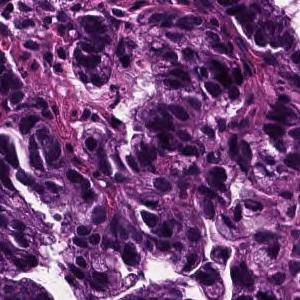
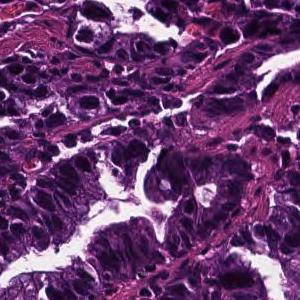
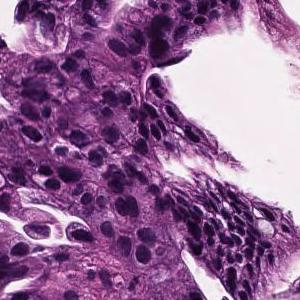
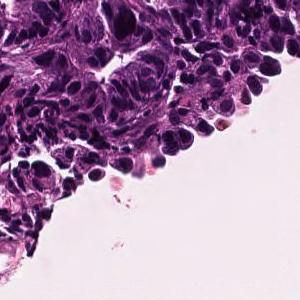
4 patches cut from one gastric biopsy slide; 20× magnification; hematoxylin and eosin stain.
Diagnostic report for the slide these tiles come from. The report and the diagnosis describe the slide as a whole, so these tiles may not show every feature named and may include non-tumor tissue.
In the superficial epithelium, tumor tissue that invades by forming medium-sized to small, irregular ducts is observed. Well differentiated tubular adenocarcinoma.
